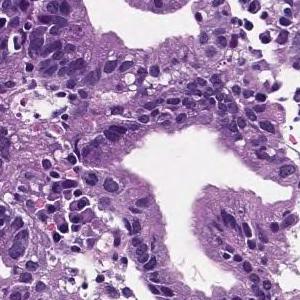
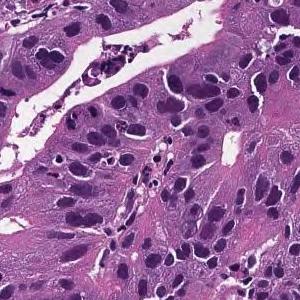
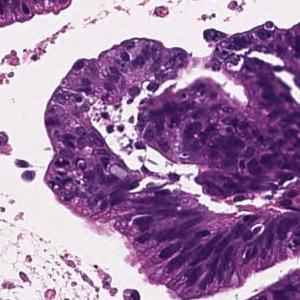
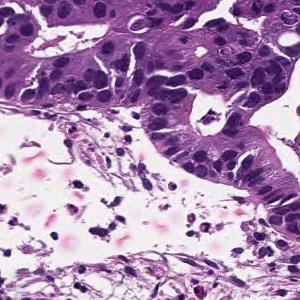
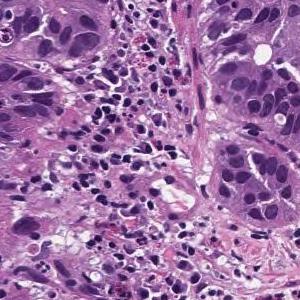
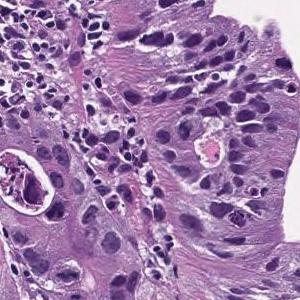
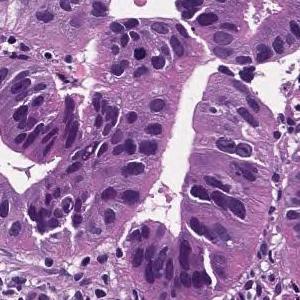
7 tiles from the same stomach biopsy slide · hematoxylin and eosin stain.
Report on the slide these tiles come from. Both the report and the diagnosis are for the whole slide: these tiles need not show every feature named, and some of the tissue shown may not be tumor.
Tumor cells are large, highly columnar, large club-shaped nuclei, and are associated with chromatin aggregation. Papillary adenocarcinoma.
